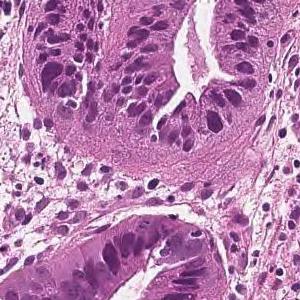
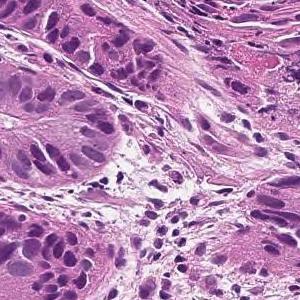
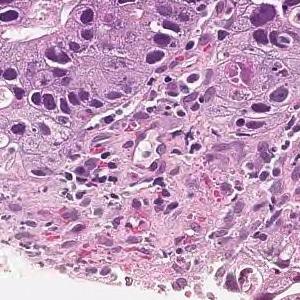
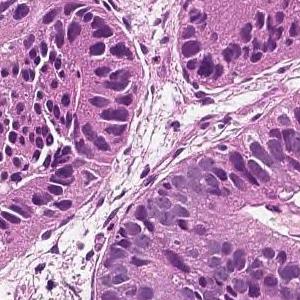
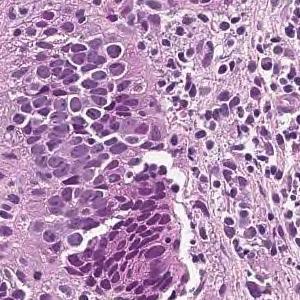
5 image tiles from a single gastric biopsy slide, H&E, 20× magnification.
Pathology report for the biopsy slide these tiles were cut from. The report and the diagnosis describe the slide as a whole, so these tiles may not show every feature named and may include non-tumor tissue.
In the superficial epithelium, tumor tissue that invades by forming medium-sized to small, irregular ducts is observed. moderately differentiated tubular adenocarcinoma.
